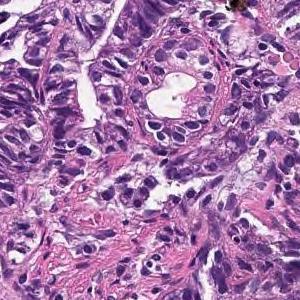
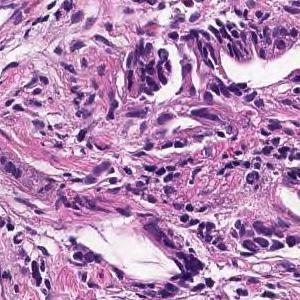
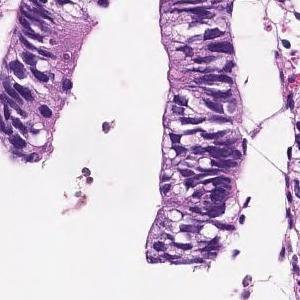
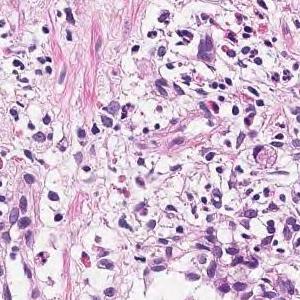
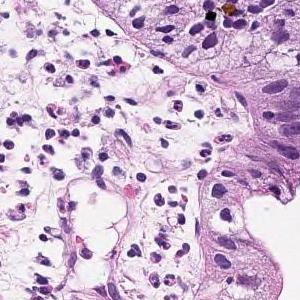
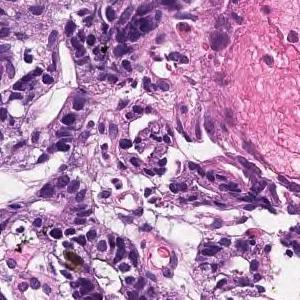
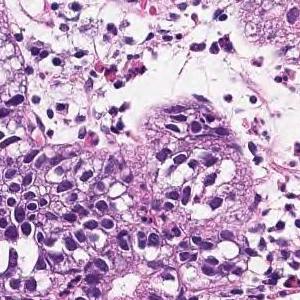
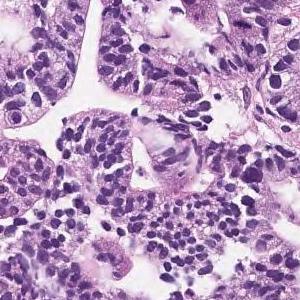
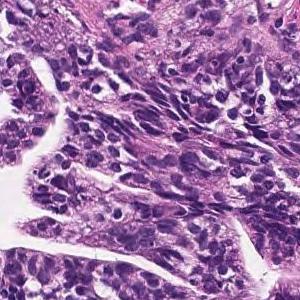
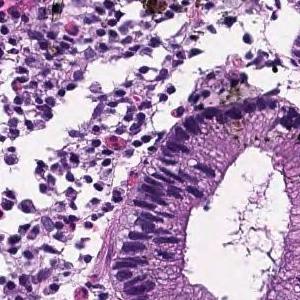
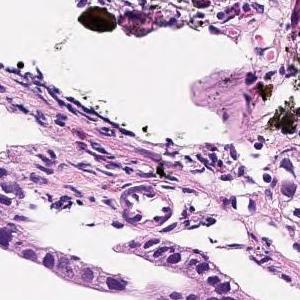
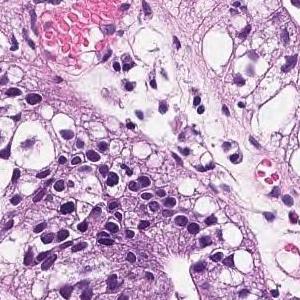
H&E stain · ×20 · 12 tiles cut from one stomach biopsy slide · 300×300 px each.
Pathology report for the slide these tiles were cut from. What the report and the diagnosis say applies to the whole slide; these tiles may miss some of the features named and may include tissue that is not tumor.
In the superficial epithelium, tumor tissue that invades by forming medium-sized to small, irregular ducts is observed. Moderately differentiated adenocarcinoma.
Histologic type: Moderately differentiated tubular adenocarcinoma.
